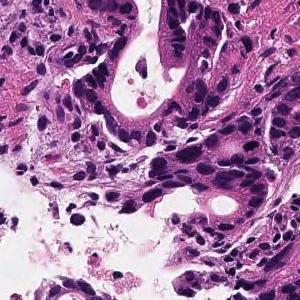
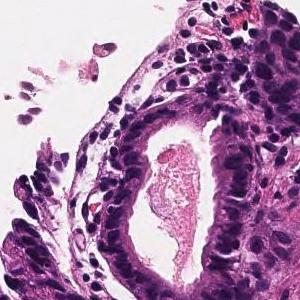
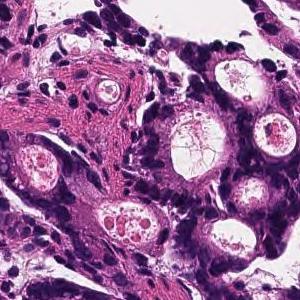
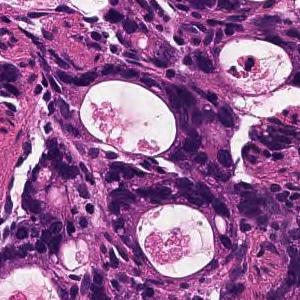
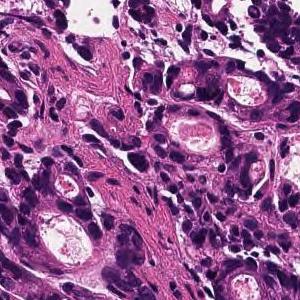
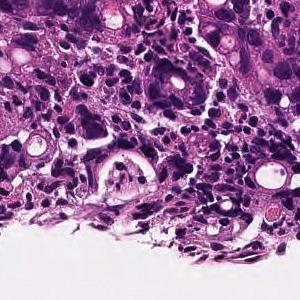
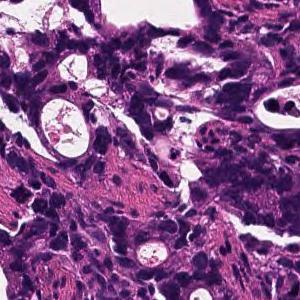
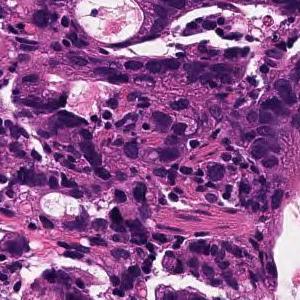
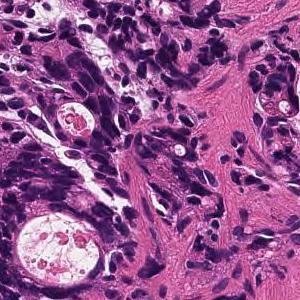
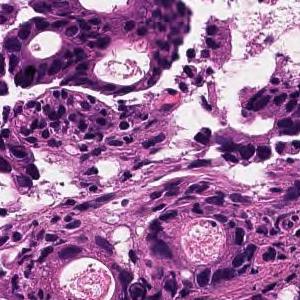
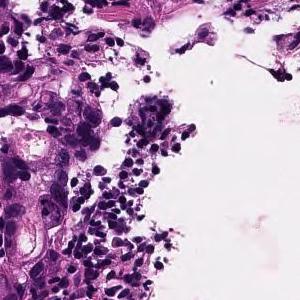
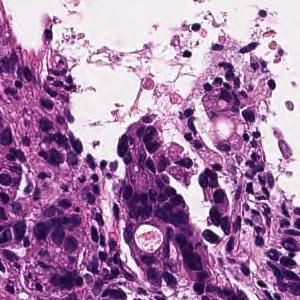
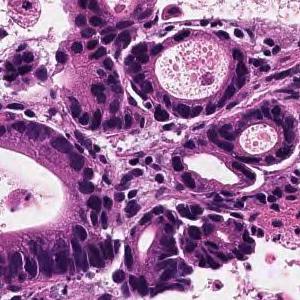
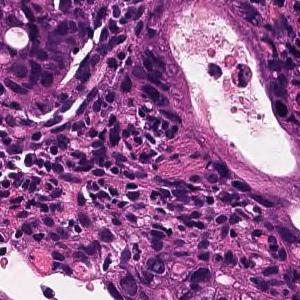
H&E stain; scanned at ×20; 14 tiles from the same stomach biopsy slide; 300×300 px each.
Pathology report for the slide these tiles were cut from. What the report and the diagnosis say applies to the whole slide; these tiles may miss some of the features named and may include tissue that is not tumor.
In the superficial epithelium, tumor tissue that invades by forming medium-sized to small, irregular ducts is observed. moderately differentiated tubular adenocarcinoma.
